4 tiles cut from one stomach biopsy slide · 300×300 px each · H&E stain · scanned at ×20.
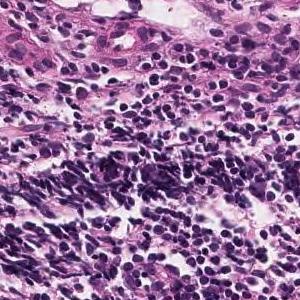
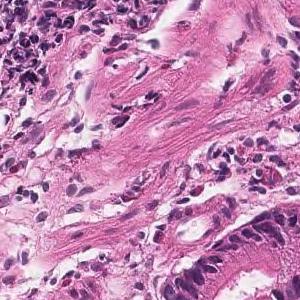
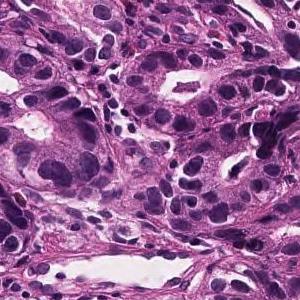
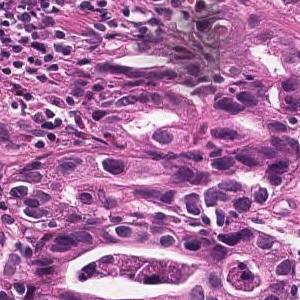
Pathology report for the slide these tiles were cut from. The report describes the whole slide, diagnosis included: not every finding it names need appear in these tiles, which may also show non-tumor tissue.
Tumor tissue consisting of medium-sized and irregular ducts is observed infiltrating in the superficial epithelium. Tumor cells are highly columnar, with nuclei aligned basolaterally and polarized. Well differentiated tubular adenocarcinoma.
